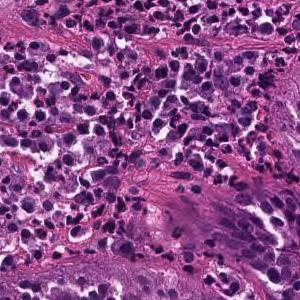
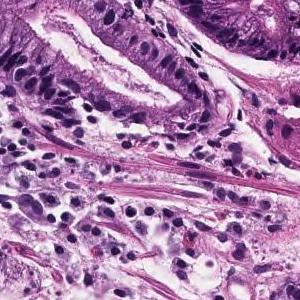
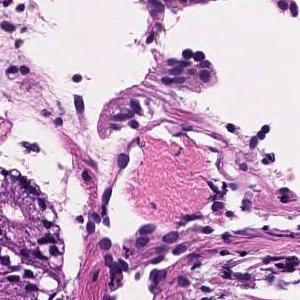
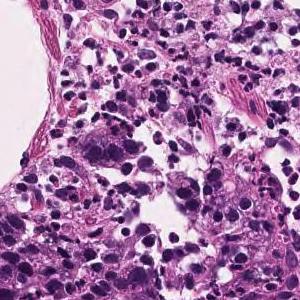
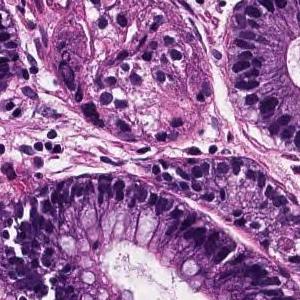
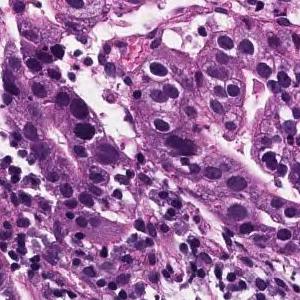
6 tiles from the same stomach biopsy slide.
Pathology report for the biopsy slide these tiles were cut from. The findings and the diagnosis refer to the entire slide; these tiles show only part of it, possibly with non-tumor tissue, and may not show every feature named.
In the superficial epithelium, tumor tissue that invades by forming medium-sized to small, irregular ducts is observed. moderately differentiated tubular adenocarcinoma.
